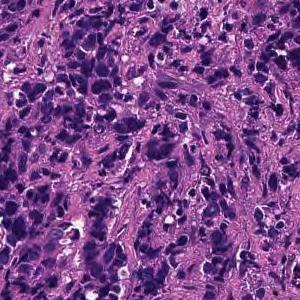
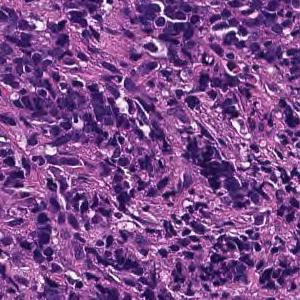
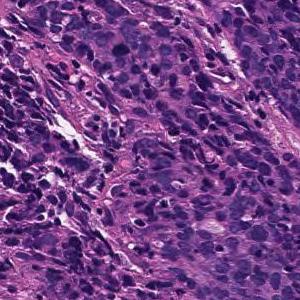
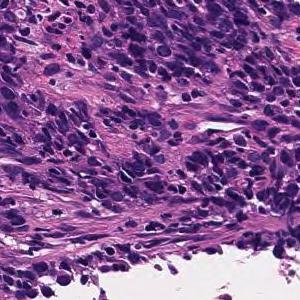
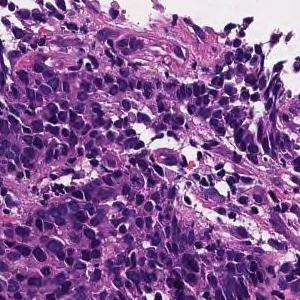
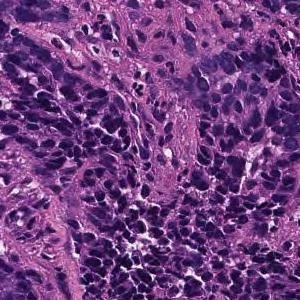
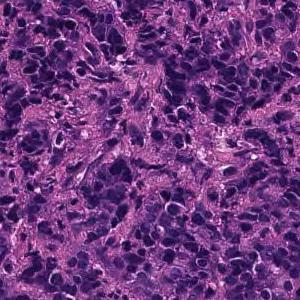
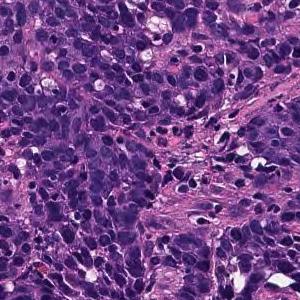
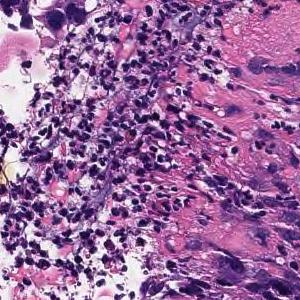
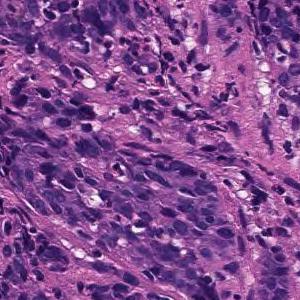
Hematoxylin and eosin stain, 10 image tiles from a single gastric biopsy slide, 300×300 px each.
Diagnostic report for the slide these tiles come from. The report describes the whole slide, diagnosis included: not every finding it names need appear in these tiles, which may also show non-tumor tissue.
Tumor tissue consisting of cord-like or small, irregular glandular ducts fused and infiltrated is observed in the superficial epithelium. Poorly differentiated adenocarcinoma, non-solid type
The non-solid type named here is a Japanese Classification of Gastric Carcinoma category.
